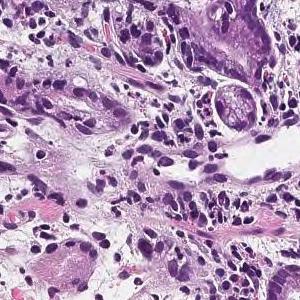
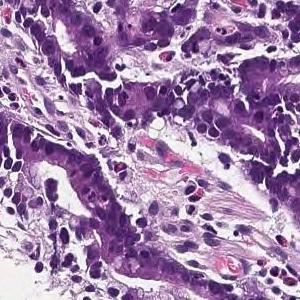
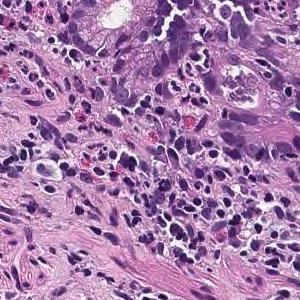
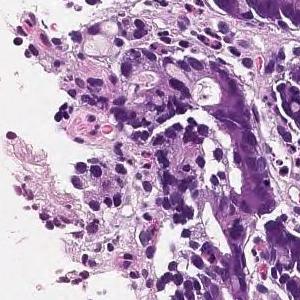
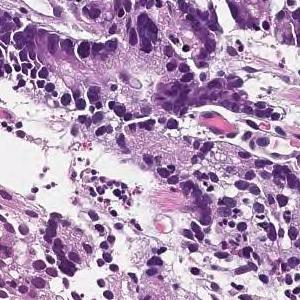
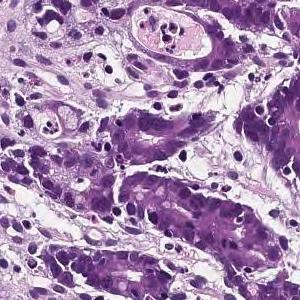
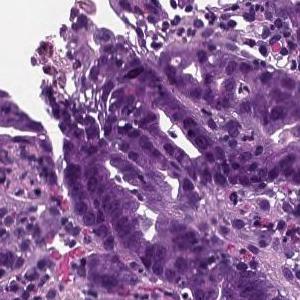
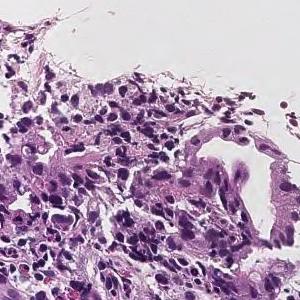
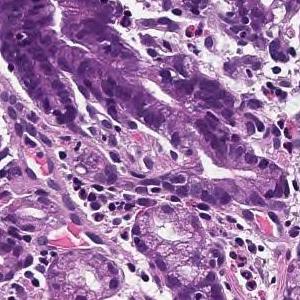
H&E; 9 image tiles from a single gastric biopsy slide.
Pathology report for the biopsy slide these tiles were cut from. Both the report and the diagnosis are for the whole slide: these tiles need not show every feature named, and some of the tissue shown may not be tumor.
In the superficial epithelium, tumor tissue that invades by forming medium-sized to small, irregular ducts is observed. moderately differentiated tubular adenocarcinoma.
